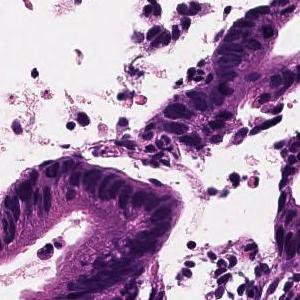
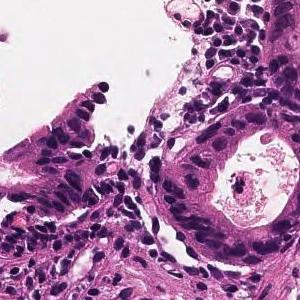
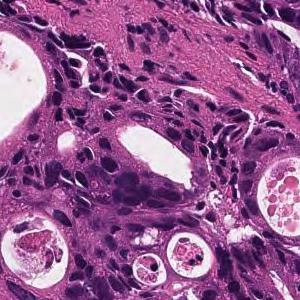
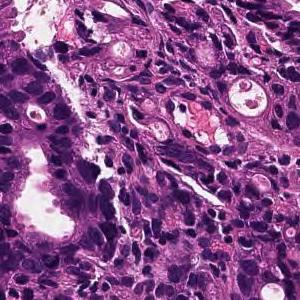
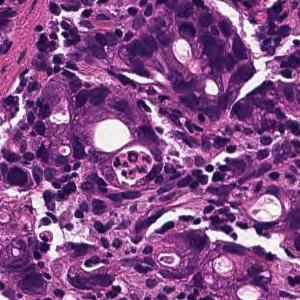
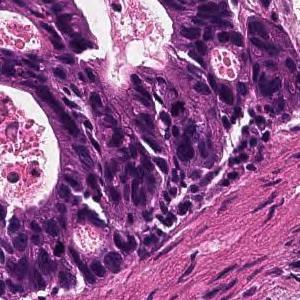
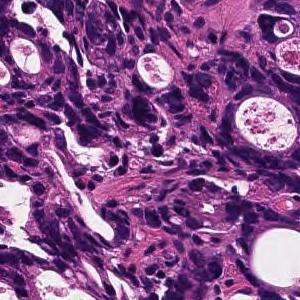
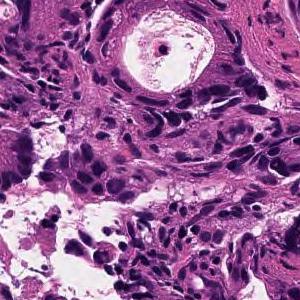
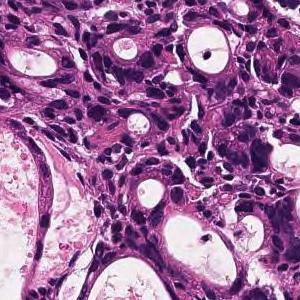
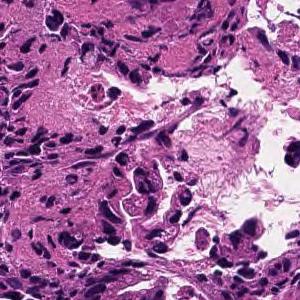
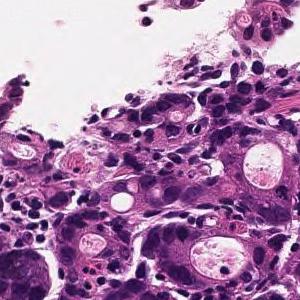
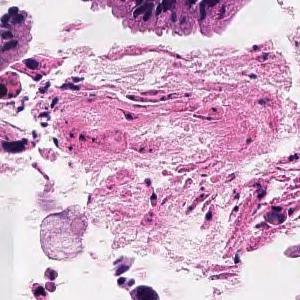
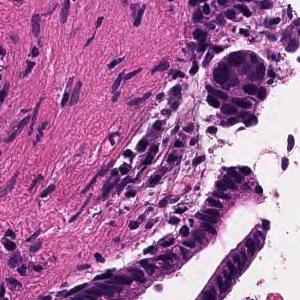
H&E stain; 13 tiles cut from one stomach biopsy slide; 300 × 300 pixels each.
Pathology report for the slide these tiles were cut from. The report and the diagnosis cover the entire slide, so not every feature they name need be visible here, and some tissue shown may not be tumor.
In the superficial epithelium, tumor tissue that invades by forming medium-sized to small, irregular ducts is observed. moderately differentiated tubular adenocarcinoma.
